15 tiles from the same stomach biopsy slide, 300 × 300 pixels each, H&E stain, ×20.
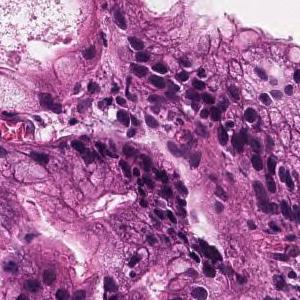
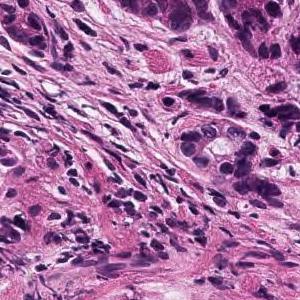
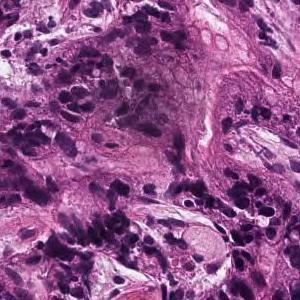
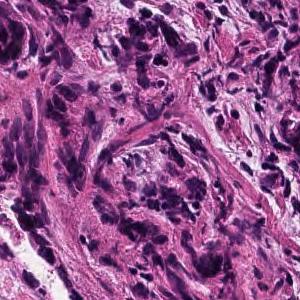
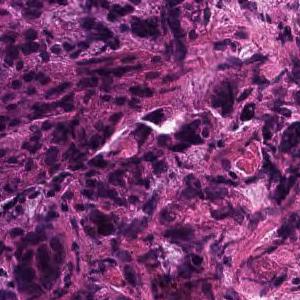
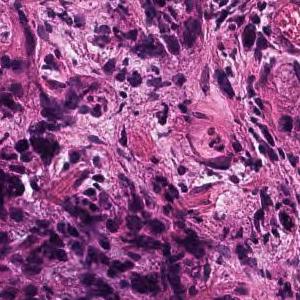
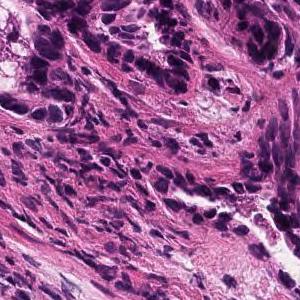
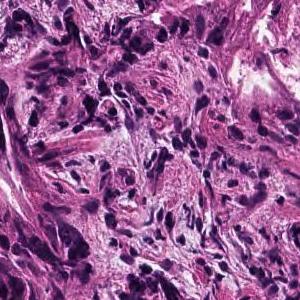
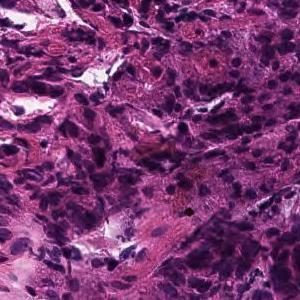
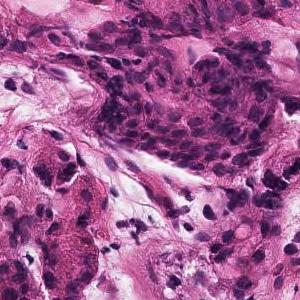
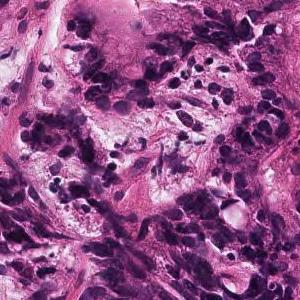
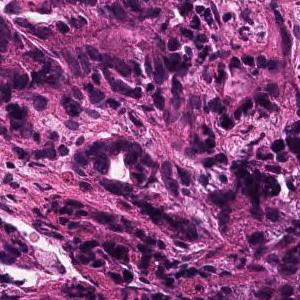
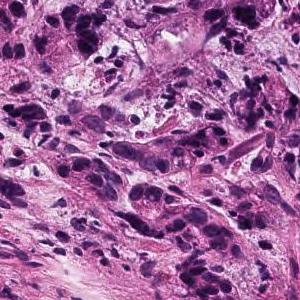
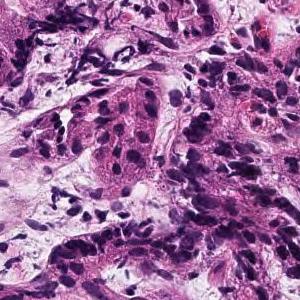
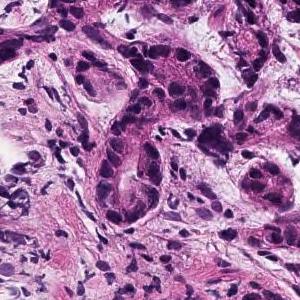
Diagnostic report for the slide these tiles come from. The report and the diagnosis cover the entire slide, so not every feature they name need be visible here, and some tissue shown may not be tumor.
Proliferation of small, irregular tubular glandular ducts with fusion is seen just above the muscularis mucosae in the lamina propria. moderately differentiated tubular adenocarcinoma
